×20; 8 patches cut from one gastric biopsy slide.
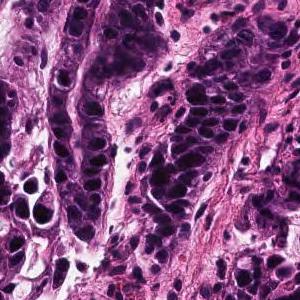
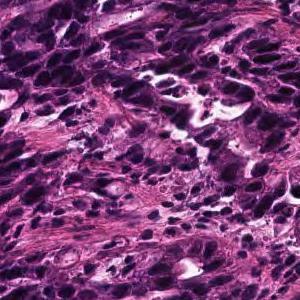
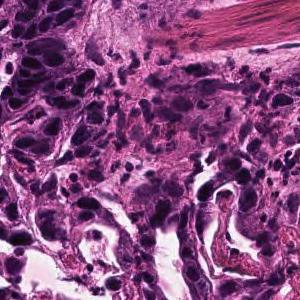
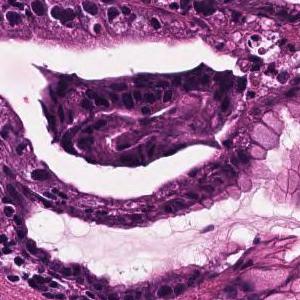
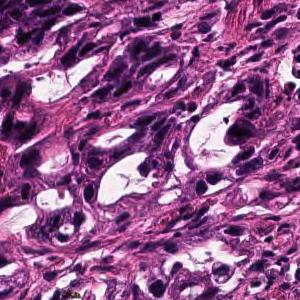
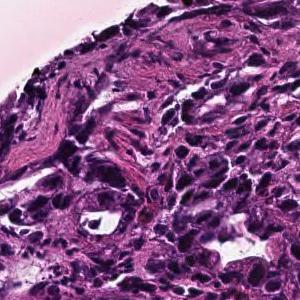
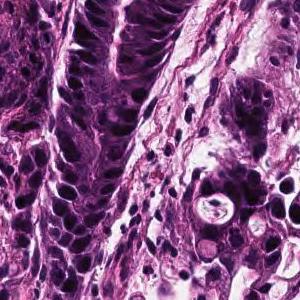
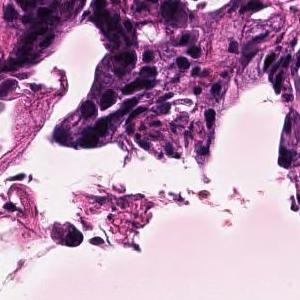
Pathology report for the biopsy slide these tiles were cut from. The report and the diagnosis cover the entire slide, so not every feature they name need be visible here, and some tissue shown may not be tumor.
In the superficial epithelium, tumor tissue that invades by forming medium-sized to small, irregular ducts is observed. moderately differentiated tubular adenocarcinoma.
